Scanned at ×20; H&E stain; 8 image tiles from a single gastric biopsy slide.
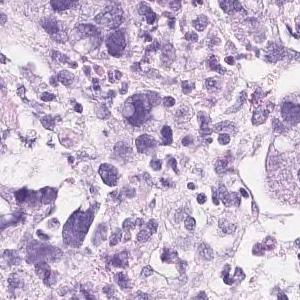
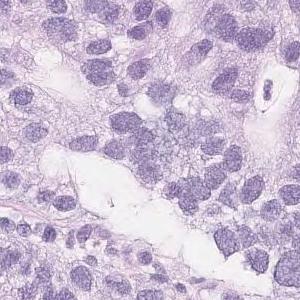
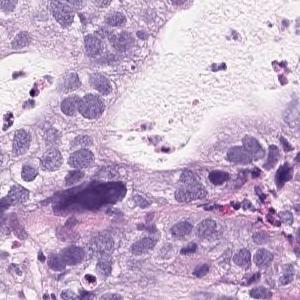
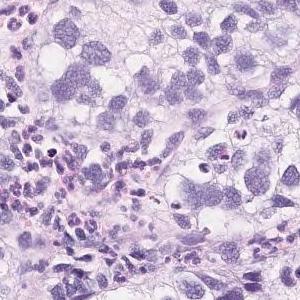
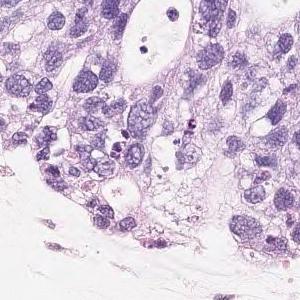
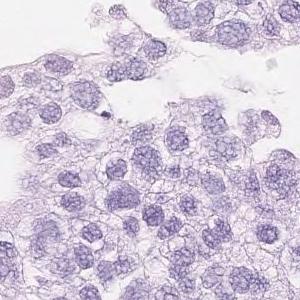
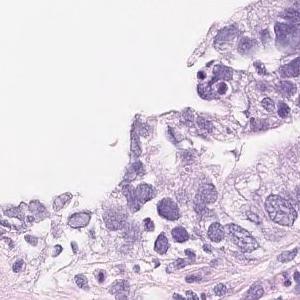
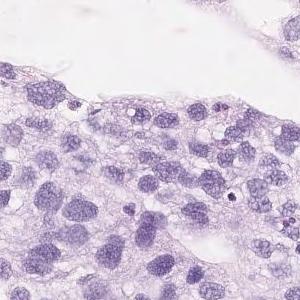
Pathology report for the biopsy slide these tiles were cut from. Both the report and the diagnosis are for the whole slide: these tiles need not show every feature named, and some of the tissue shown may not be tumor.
On the superficial epithelium, tumor tissue consisting of large, irregular glandular ducts partially fused and infiltrated is observed. Well to moderately differentiated tubular adenocarcinoma (well differentiated tubular adenocarcinoma, moderately differentiated tubular adenocarcinoma)
Tumor subtype: well to moderately differentiated tubular adenocarcinoma.
